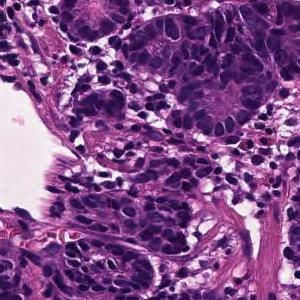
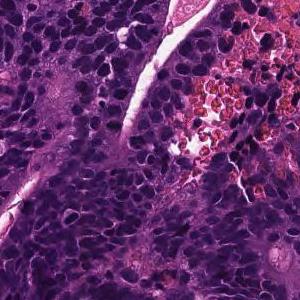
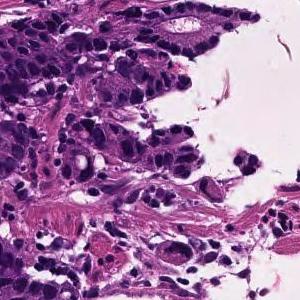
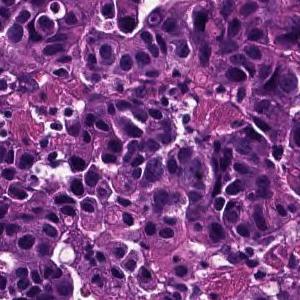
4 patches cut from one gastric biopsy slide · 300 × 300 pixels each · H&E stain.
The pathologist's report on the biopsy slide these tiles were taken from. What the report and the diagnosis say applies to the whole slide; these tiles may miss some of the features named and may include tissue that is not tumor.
In the superficial epithelium, tumor tissue that invades by forming medium-sized to small, irregular ducts is observed. moderately differentiated tubular adenocarcinoma.
